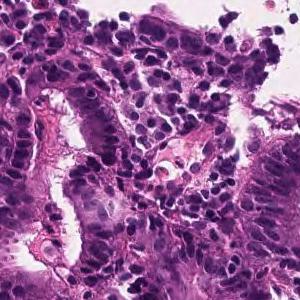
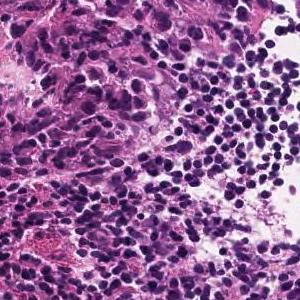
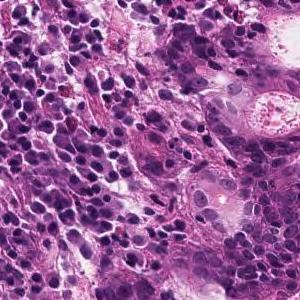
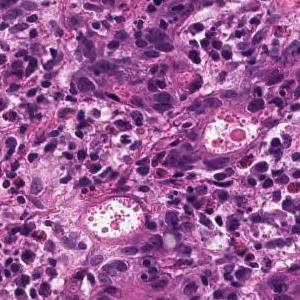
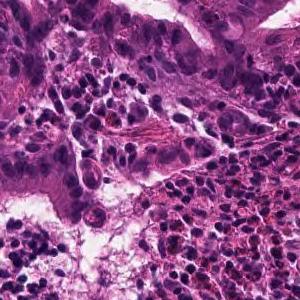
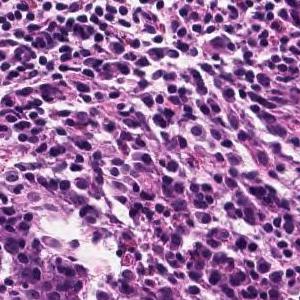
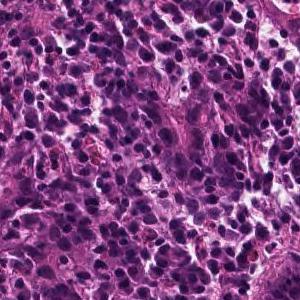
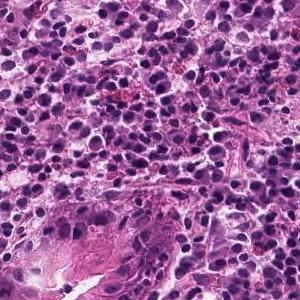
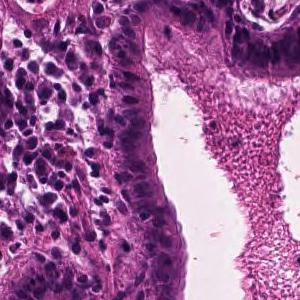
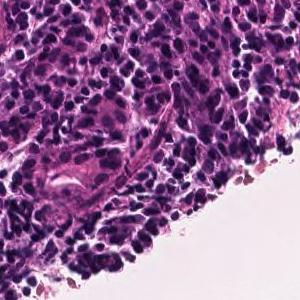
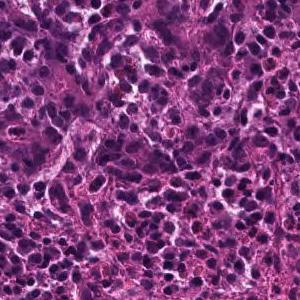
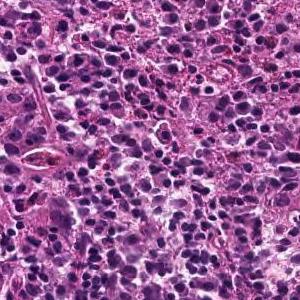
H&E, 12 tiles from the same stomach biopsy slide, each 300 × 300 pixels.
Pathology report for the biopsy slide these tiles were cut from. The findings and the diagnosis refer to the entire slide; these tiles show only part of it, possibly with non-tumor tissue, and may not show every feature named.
Tumor tissue consisting of medium-sized, cord-like or irregular glandular infiltration is observed in the superficial epithelium. Poorly differentiated adenocarcinoma, non-solid type or moderately differentiated tubular adenocarcinoma
Dataset label: poorly differentiated adenocarcinoma, non-solid type.
The non-solid type named here is a Japanese Classification of Gastric Carcinoma category.
